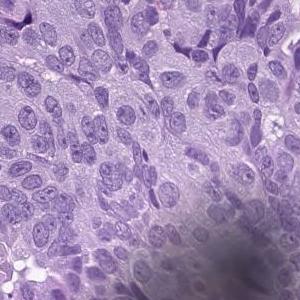
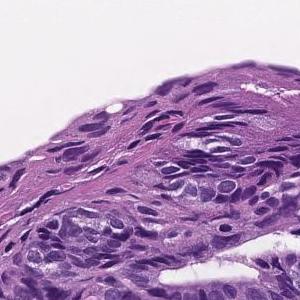
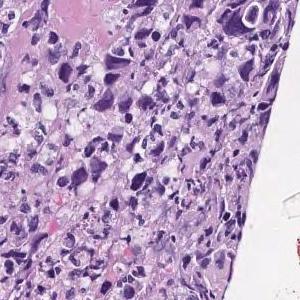
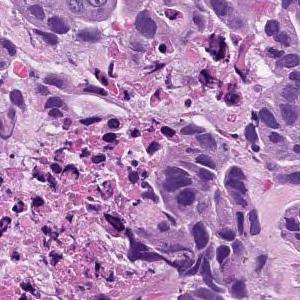
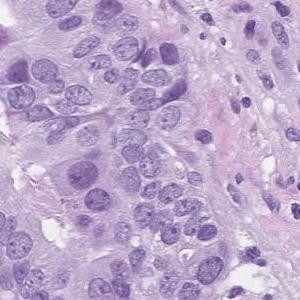
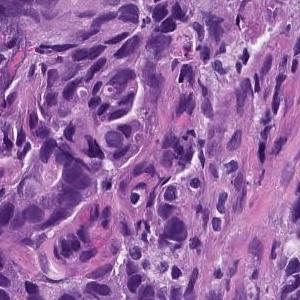
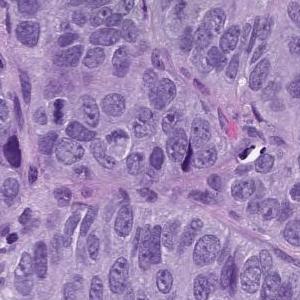
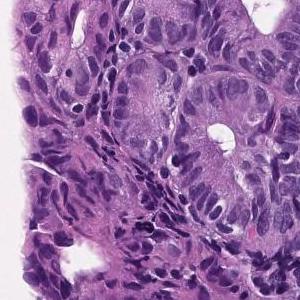
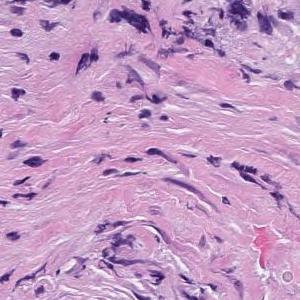
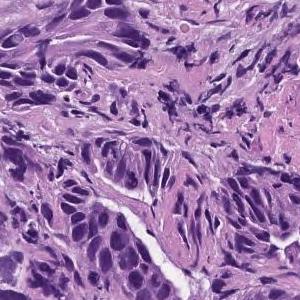
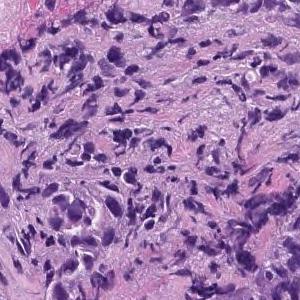
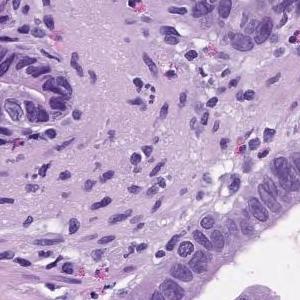
12 patches cut from one gastric biopsy slide · hematoxylin and eosin stain.
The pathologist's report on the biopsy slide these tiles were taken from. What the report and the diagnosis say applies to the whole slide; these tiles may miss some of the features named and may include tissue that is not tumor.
In the superficial epithelium, tumor tissue that invades by forming medium-sized to small, irregular ducts is observed. moderately differentiated tubular adenocarcinoma.
